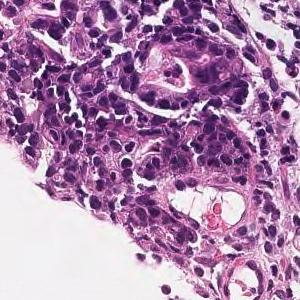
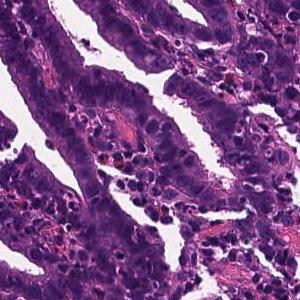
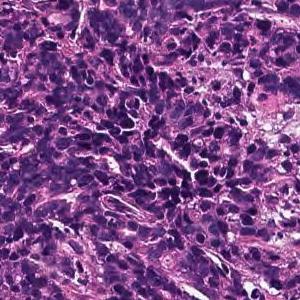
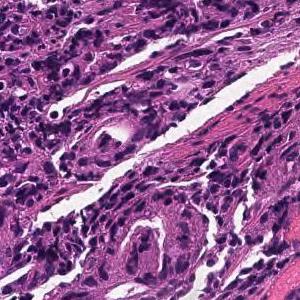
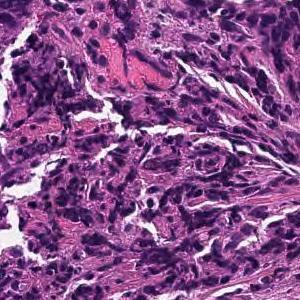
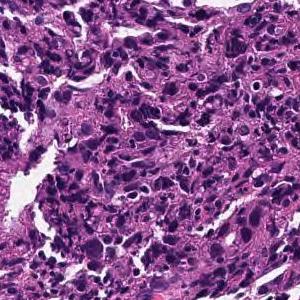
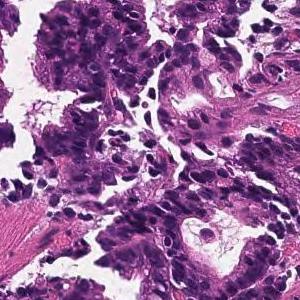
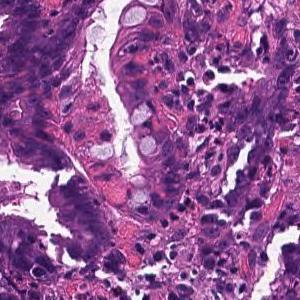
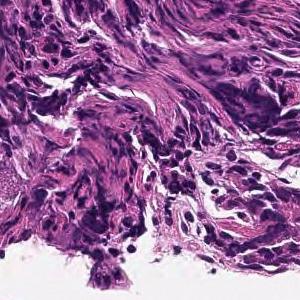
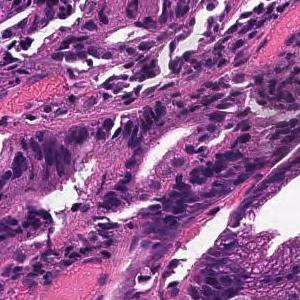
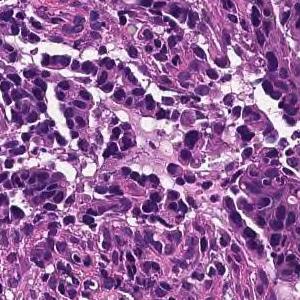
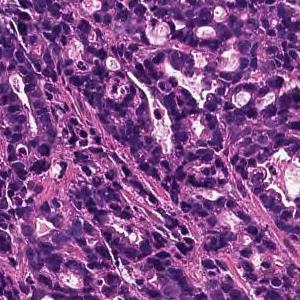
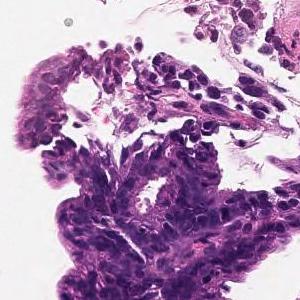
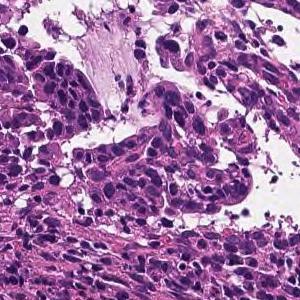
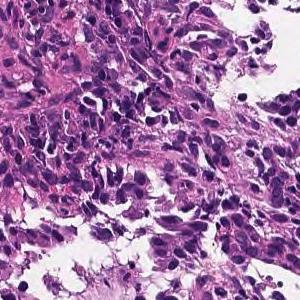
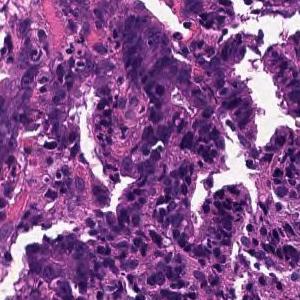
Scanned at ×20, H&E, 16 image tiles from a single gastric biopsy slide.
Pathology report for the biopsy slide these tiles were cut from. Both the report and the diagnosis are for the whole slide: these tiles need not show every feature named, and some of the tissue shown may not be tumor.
Medium to small, irregular glandular ducts are formed in the superficial epithelium, and some tumor tissues show small cords and infiltrate. moderately differentiated tubular adenocarcinoma or Poorly differentiated adenocarcinoma, non-solid type
Dataset label: moderately differentiated tubular adenocarcinoma.
The term "non-solid type" comes from the Japanese Classification of Gastric Carcinoma.
